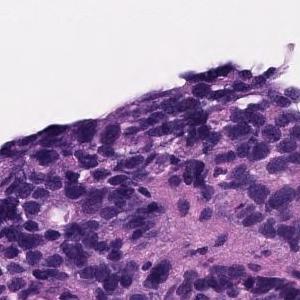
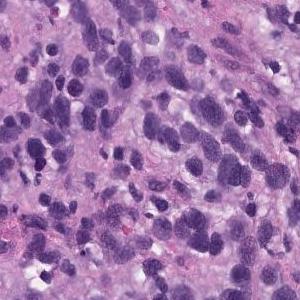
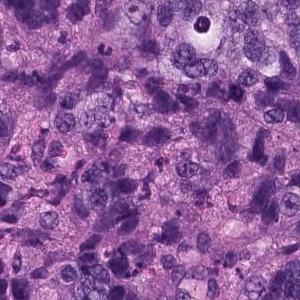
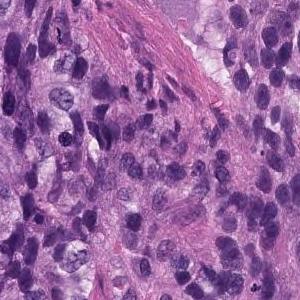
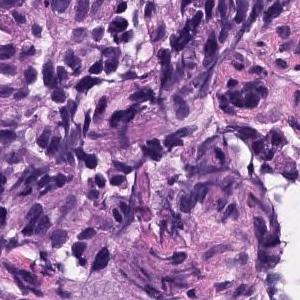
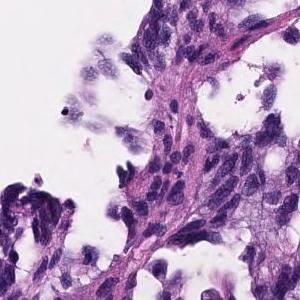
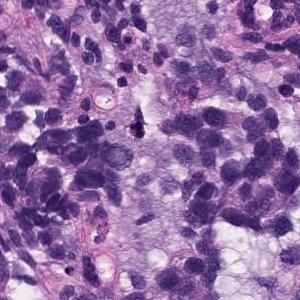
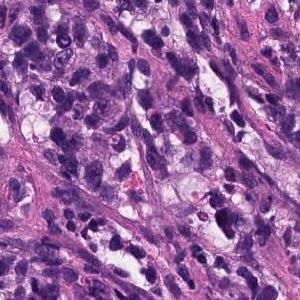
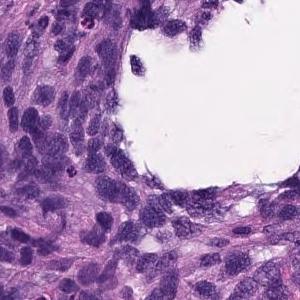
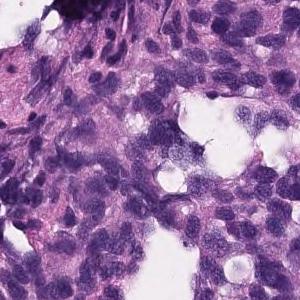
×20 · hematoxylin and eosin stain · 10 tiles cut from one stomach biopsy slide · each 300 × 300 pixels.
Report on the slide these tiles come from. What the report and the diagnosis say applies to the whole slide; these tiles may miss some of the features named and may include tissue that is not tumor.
Atypical l cells with atypical nuclei under the mucosa growing in isolation and scattered. Poorly differentiated adenocarcinoma (poorly differentiated adenocarcinoma, non-solid type)
Histological subtype: Poorly differentiated adenocarcinoma, non-solid type.
"Non-solid type" is a category of the Japanese Classification of Gastric Carcinoma.
